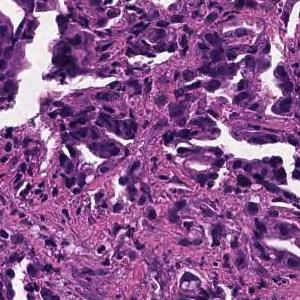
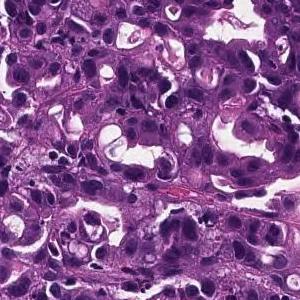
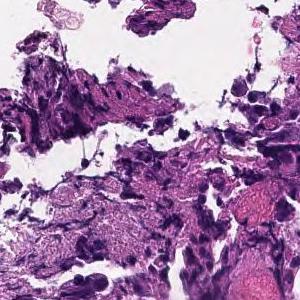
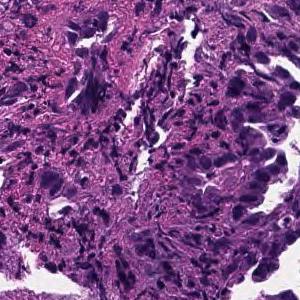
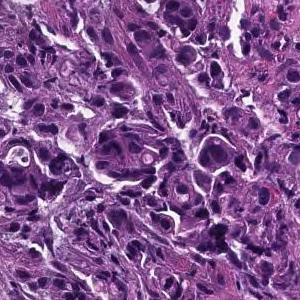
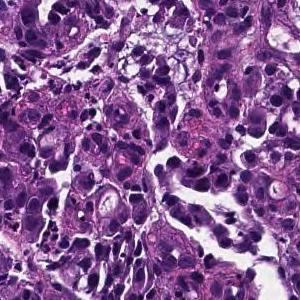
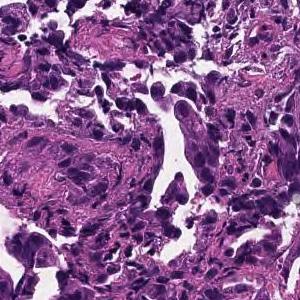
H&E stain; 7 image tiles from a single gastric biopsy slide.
Diagnostic report for the slide these tiles come from. The report describes the whole slide, diagnosis included: not every finding it names need appear in these tiles, which may also show non-tumor tissue.
Tumor tissue consisting of medium-sized, cord-like or irregular glandular infiltration is observed in the superficial epithelium. Poorly differentiated adenocarcinoma, non-solid type or moderately differentiated tubular adenocarcinoma
Histological subtype: Moderately to poorly differentiated adenocarcinoma.
The term "non-solid type" comes from the Japanese Classification of Gastric Carcinoma.
